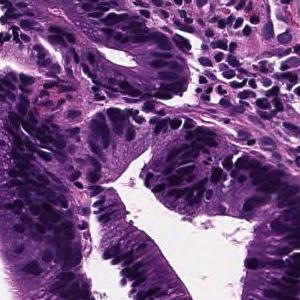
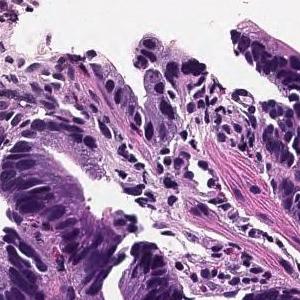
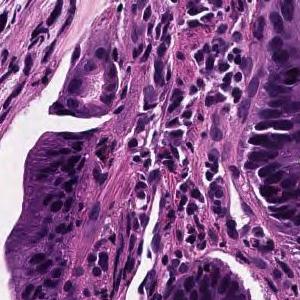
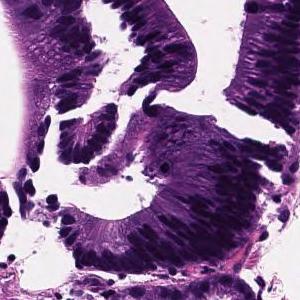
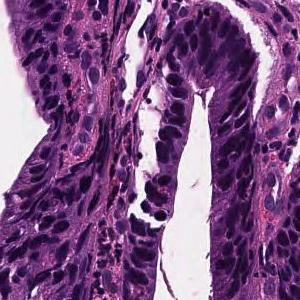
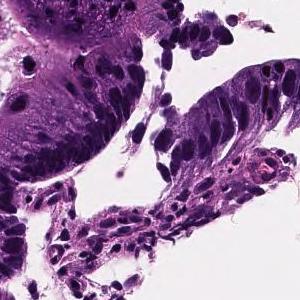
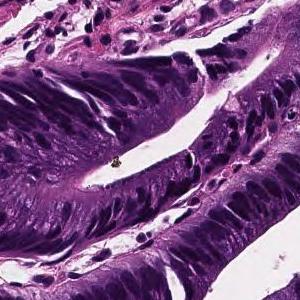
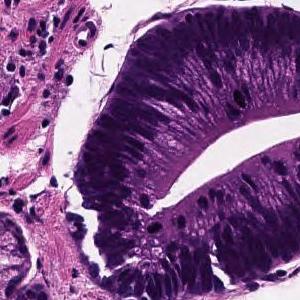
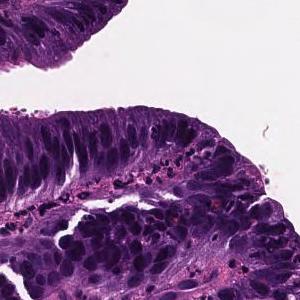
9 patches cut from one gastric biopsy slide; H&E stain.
The pathologist's report on the biopsy slide these tiles were taken from. The findings and the diagnosis refer to the entire slide; these tiles show only part of it, possibly with non-tumor tissue, and may not show every feature named.
Tumor cells are large, highly columnar, large club-shaped nuclei, and are associated with chromatin aggregation. Papillary adenocarcinoma.
